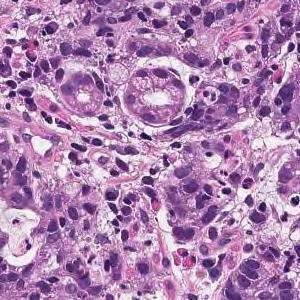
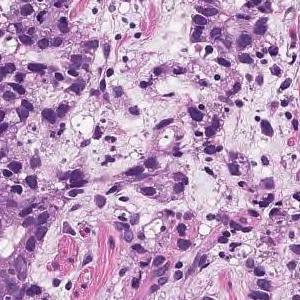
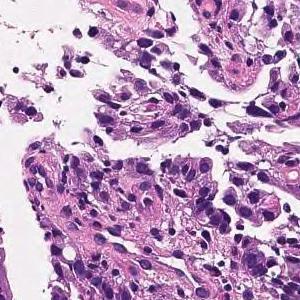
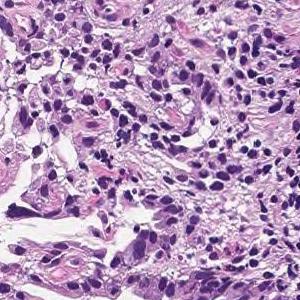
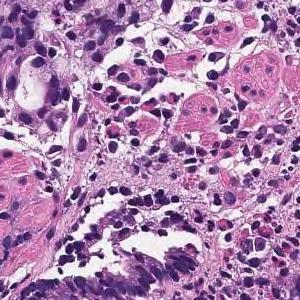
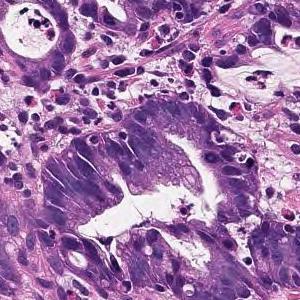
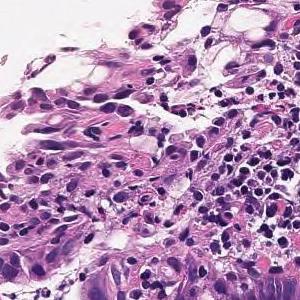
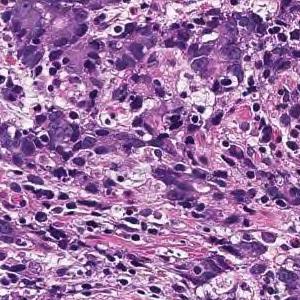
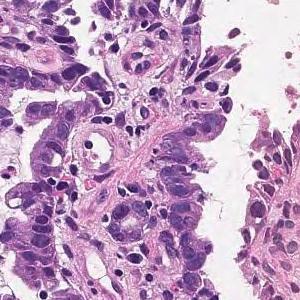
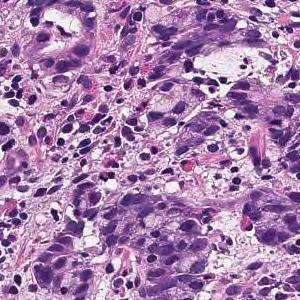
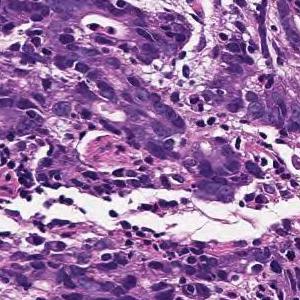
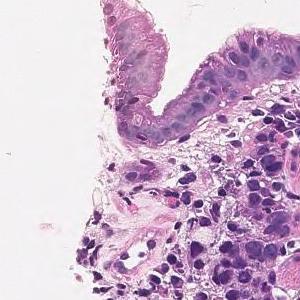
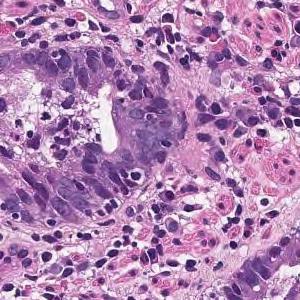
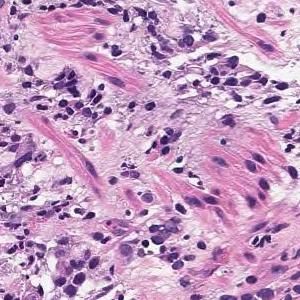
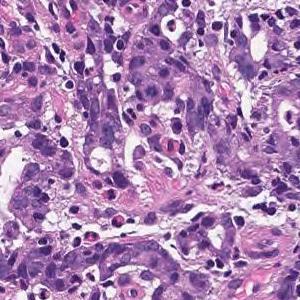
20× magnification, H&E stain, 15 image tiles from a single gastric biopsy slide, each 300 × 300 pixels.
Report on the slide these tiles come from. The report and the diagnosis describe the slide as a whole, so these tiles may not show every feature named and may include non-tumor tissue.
Tumor tissue consisting of cord-like or small, irregular glandular ducts fused and infiltrated is observed in the superficial epithelium. Poorly differentiated adenocarcinoma, non-solid type
The term "non-solid type" comes from the Japanese Classification of Gastric Carcinoma.
